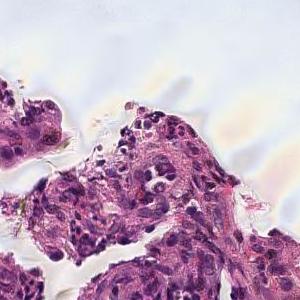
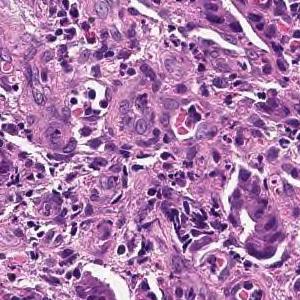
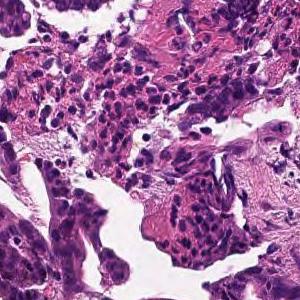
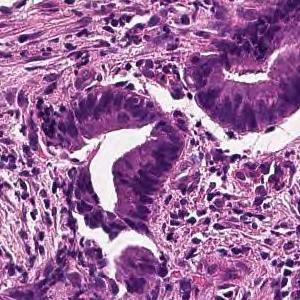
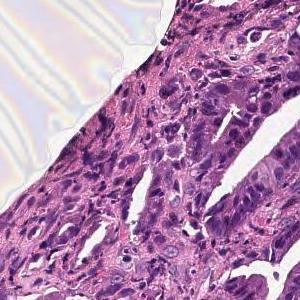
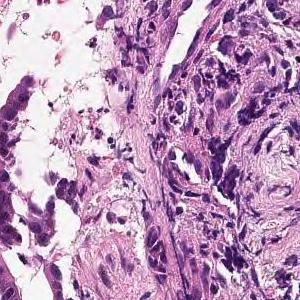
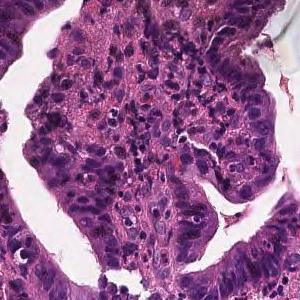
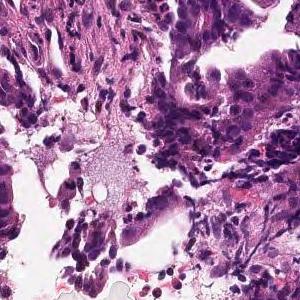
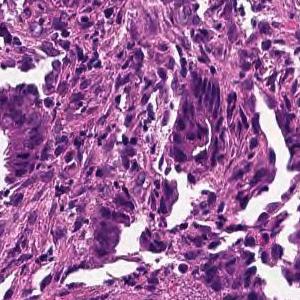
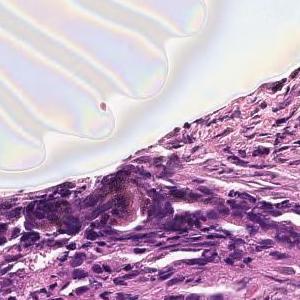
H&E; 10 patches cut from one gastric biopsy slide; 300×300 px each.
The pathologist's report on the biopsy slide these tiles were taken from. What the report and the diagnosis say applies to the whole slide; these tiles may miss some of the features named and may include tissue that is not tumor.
From the superficial epithelium to the muscularis mucosae, tumor tissue consisting of medium-sized and irregular glandular ducts infiltrating is observed. Well differentiated tubular adenocarcinoma
